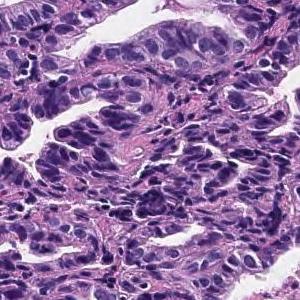
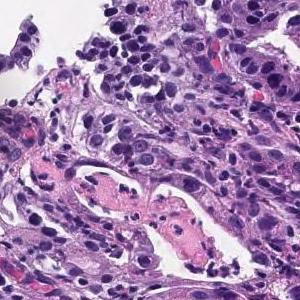
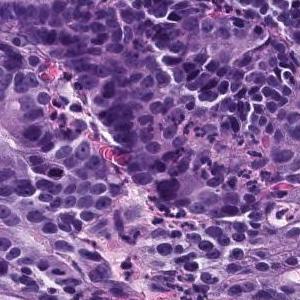
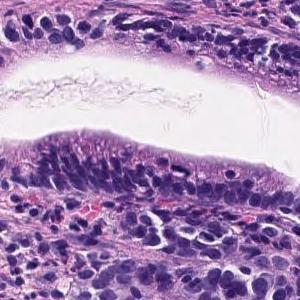
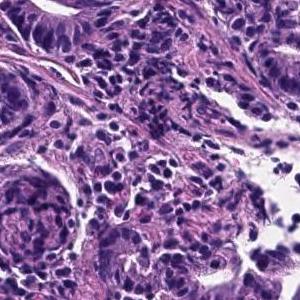
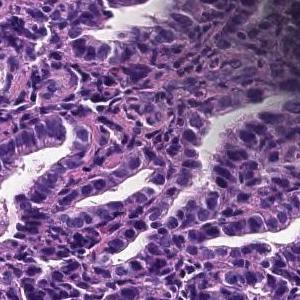
20× magnification; 6 tiles from the same stomach biopsy slide.
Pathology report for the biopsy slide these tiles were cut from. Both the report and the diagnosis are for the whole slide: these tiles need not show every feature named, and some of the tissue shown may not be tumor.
The superficial tumors shows large papillary structures or large and small ducts and infiltrates. Papillary adenocarcinoma.
